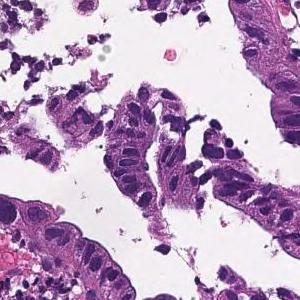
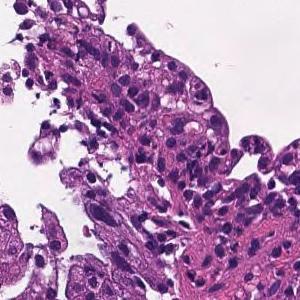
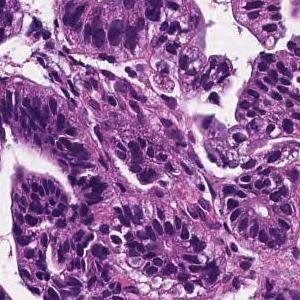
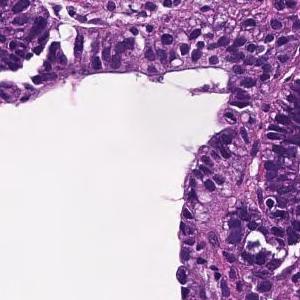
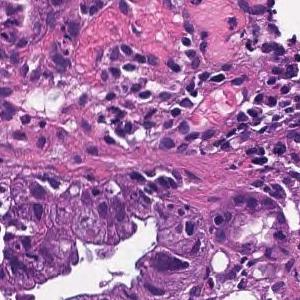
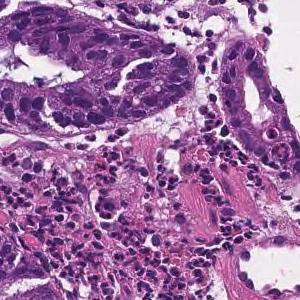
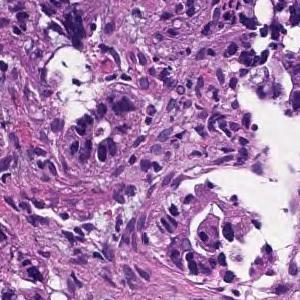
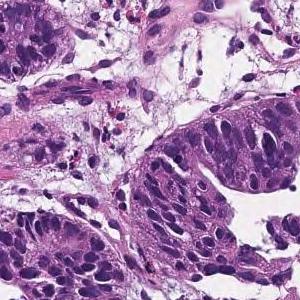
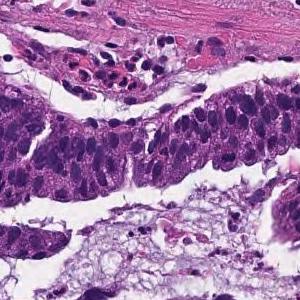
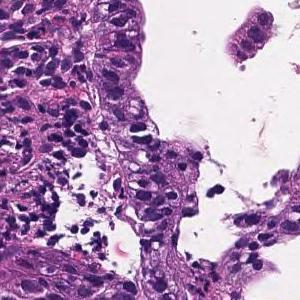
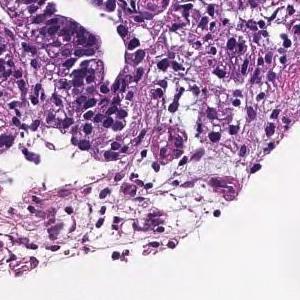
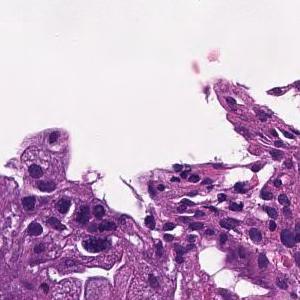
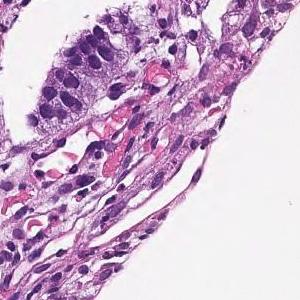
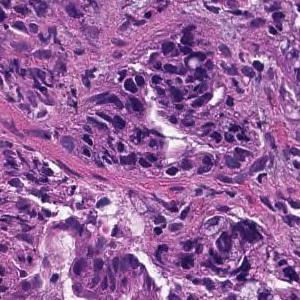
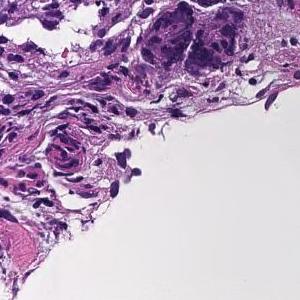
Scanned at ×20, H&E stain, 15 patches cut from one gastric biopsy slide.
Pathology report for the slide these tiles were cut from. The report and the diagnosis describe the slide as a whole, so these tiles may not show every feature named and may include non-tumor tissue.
From the superficial epithelium to the muscularis mucosae, tumor tissue consisting of medium-sized and irregular glandular ducts infiltrating is observed. Well differentiated tubular adenocarcinoma
